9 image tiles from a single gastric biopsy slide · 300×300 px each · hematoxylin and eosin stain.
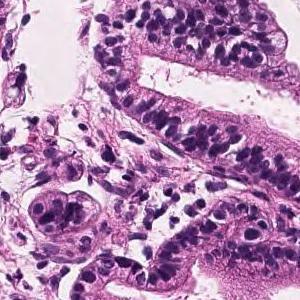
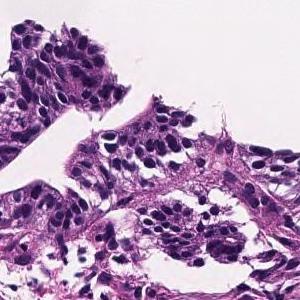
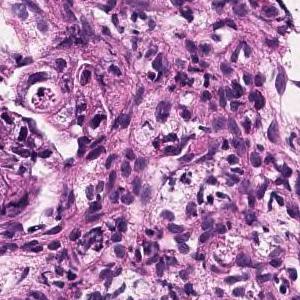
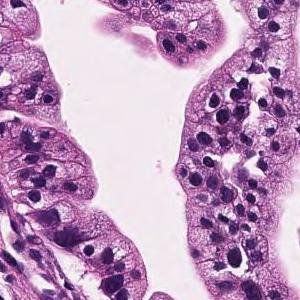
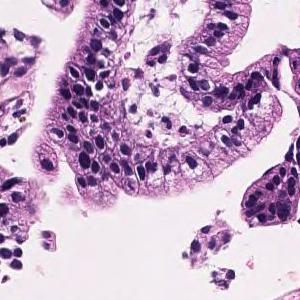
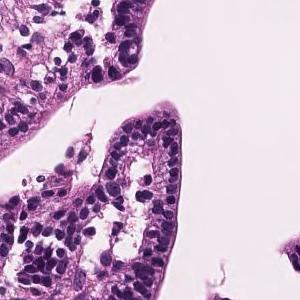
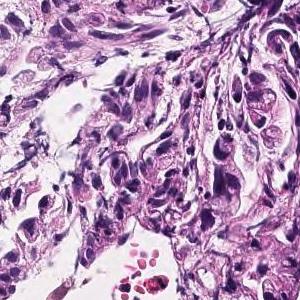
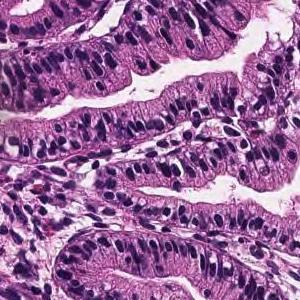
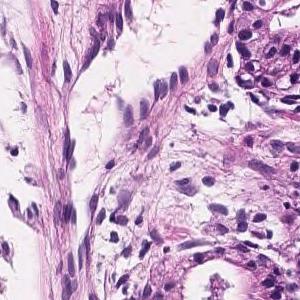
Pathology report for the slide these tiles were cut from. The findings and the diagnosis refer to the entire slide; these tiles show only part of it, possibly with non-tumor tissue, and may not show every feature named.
Tumor tissue consisting of large papillary structures or irregular glandular ducts partially fused and infiltrated is observed in the superficial epithelium. Well to moderately differentiated tubular adenocarcinoma.
Labeled in the dataset as moderately differentiated tubular adenocarcinoma.
